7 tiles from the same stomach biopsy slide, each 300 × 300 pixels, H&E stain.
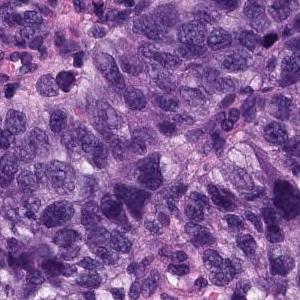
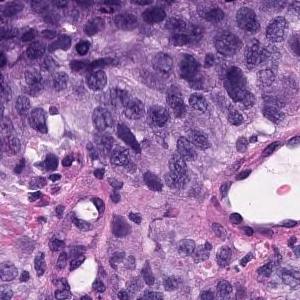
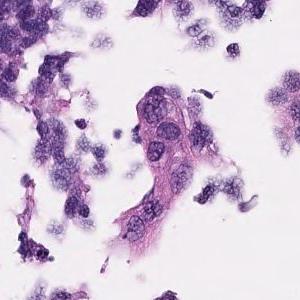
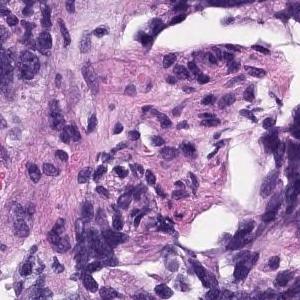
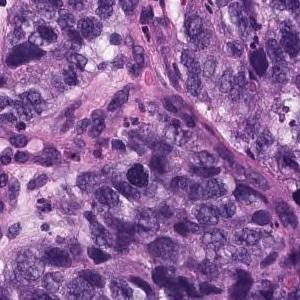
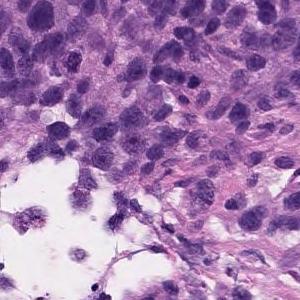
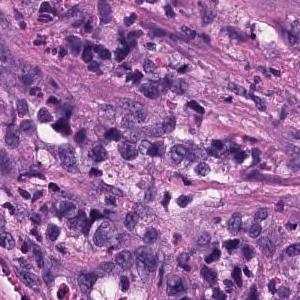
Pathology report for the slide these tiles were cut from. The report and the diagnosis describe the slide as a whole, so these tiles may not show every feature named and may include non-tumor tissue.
Atypical l cells with atypical nuclei under the mucosa growing in isolation and scattered. Poorly differentiated adenocarcinoma (poorly differentiated adenocarcinoma, non-solid type)
Tumor subtype: poorly differentiated adenocarcinoma, non-solid type.
The non-solid type named here is a Japanese Classification of Gastric Carcinoma category.
